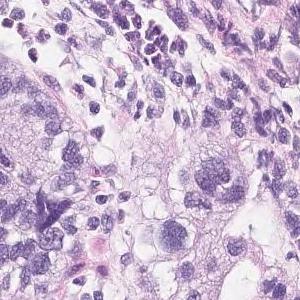
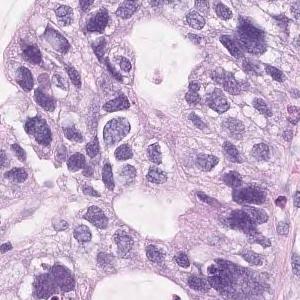
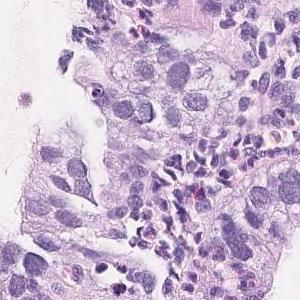
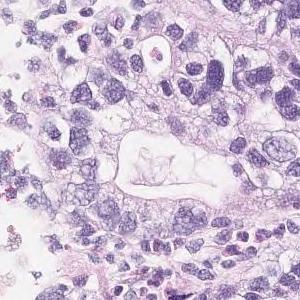
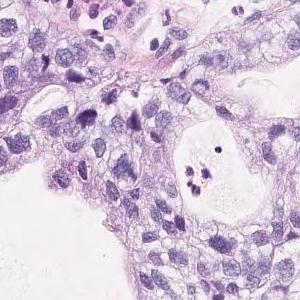
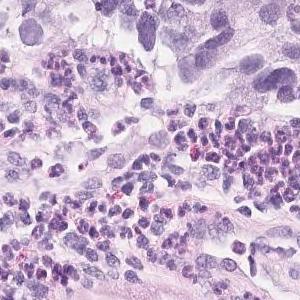
20× magnification; hematoxylin and eosin stain; 6 image tiles from a single gastric biopsy slide; 300 × 300 pixels each.
Pathology report for the slide these tiles were cut from. The report describes the whole slide, diagnosis included: not every finding it names need appear in these tiles, which may also show non-tumor tissue.
On the superficial epithelium, tumor tissue consisting of large, irregular glandular ducts partially fused and infiltrated is observed. Well to moderately differentiated tubular adenocarcinoma (well differentiated tubular adenocarcinoma, moderately differentiated tubular adenocarcinoma)
Histologic type: Well to moderately differentiated tubular adenocarcinoma.
